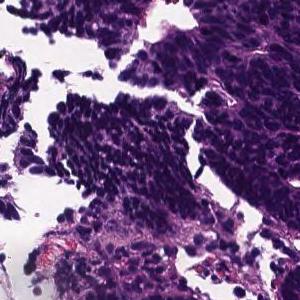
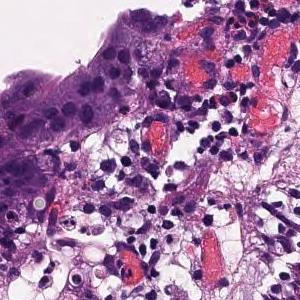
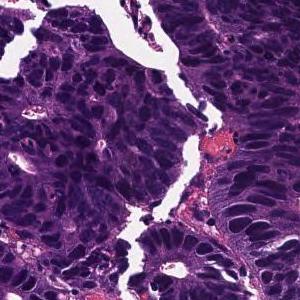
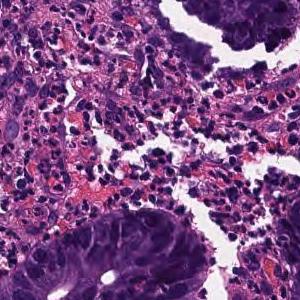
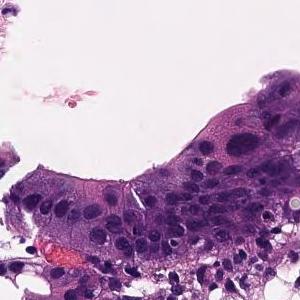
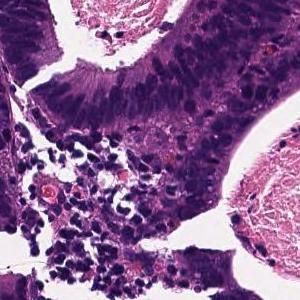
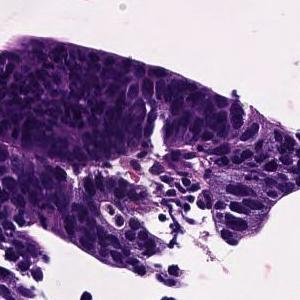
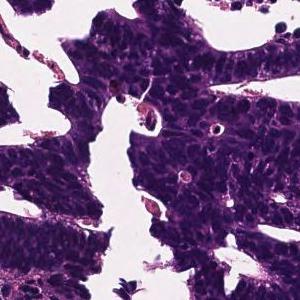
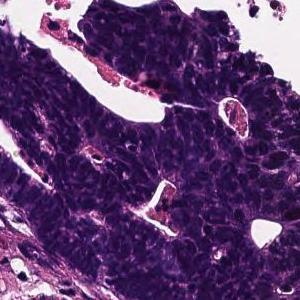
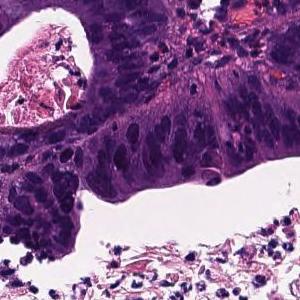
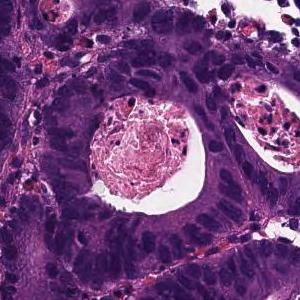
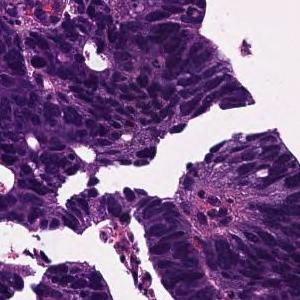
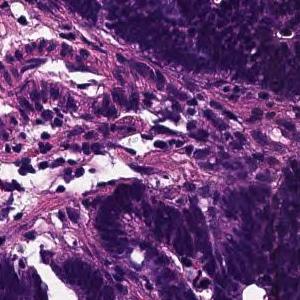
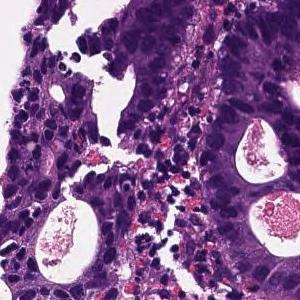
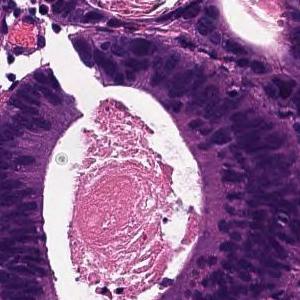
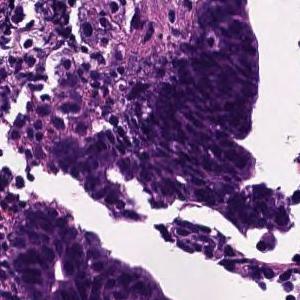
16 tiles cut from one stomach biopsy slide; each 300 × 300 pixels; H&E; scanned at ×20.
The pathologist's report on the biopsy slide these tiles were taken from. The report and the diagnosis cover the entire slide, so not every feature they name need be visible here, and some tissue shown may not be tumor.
In the superficial epithelium, tumor tissue that invades by forming medium-sized to small, irregular ducts is observed. moderately differentiated tubular adenocarcinoma.
